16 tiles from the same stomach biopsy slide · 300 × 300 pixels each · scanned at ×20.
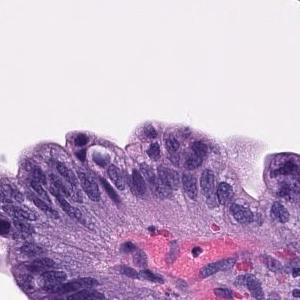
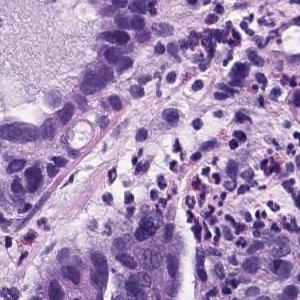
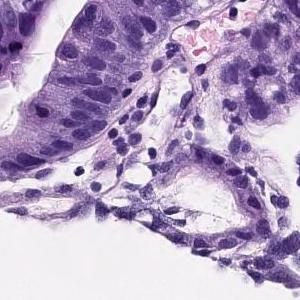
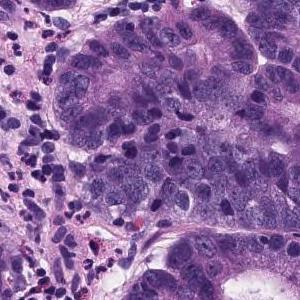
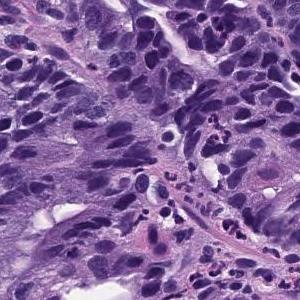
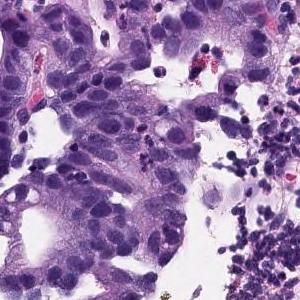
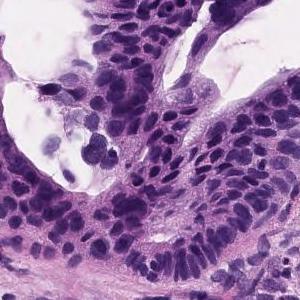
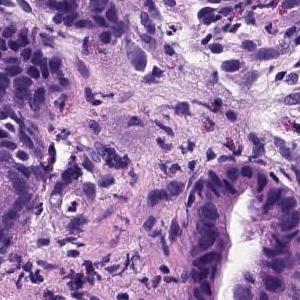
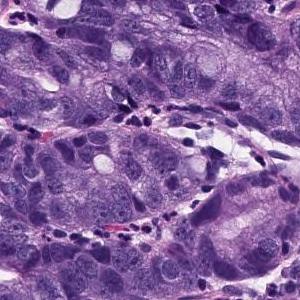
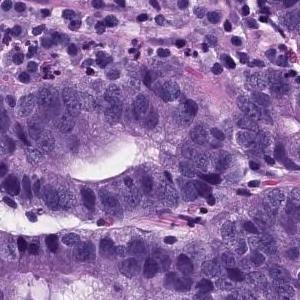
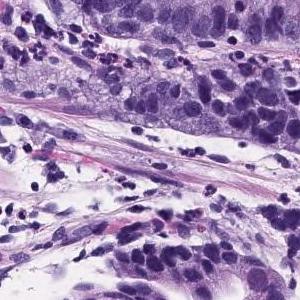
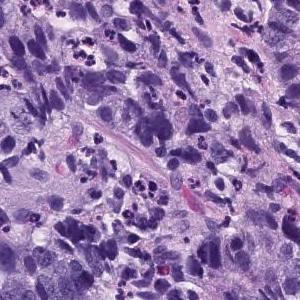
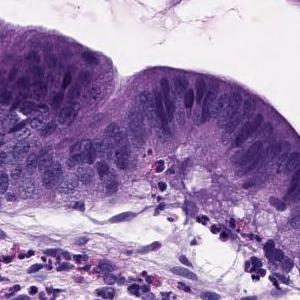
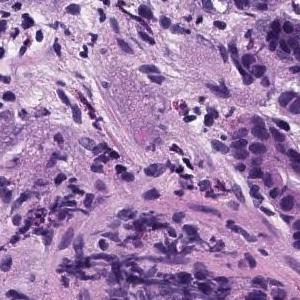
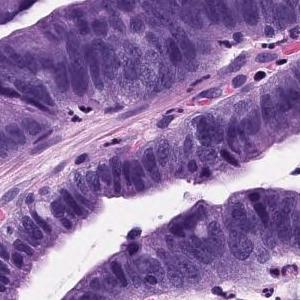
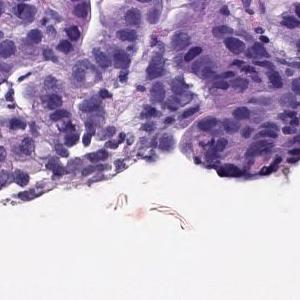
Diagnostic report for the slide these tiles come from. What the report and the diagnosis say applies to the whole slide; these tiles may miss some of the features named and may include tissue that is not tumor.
Tumor tissue consisting of large papillary structures is found in the superficial epithelium. Papillary adenocarcinoma.
